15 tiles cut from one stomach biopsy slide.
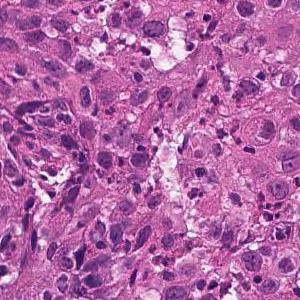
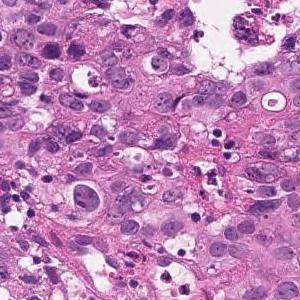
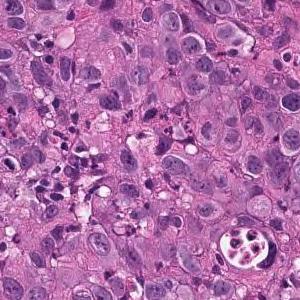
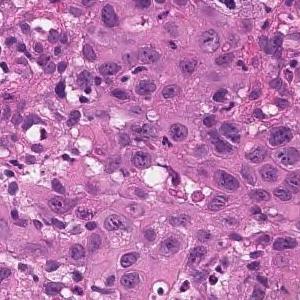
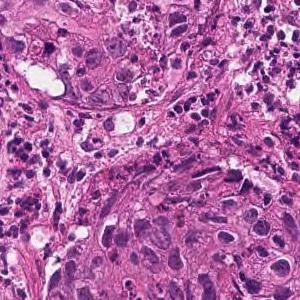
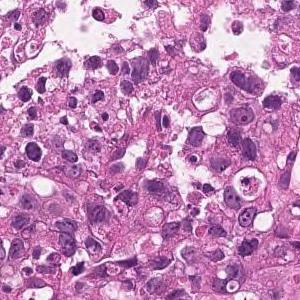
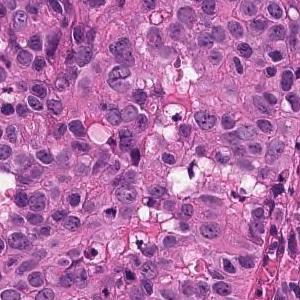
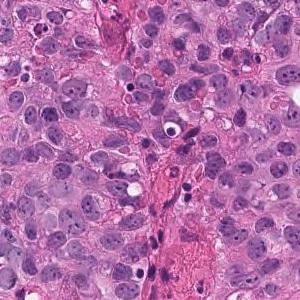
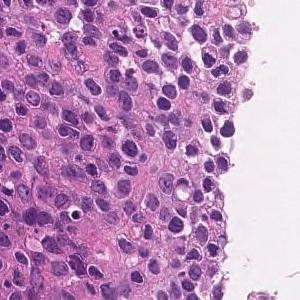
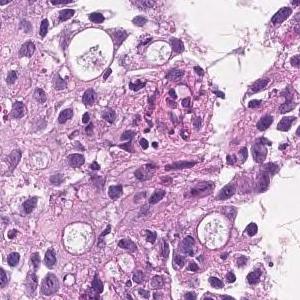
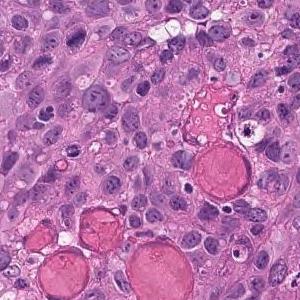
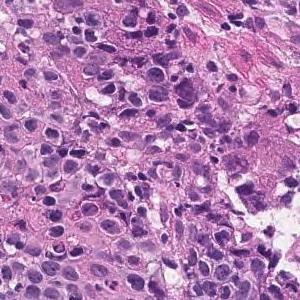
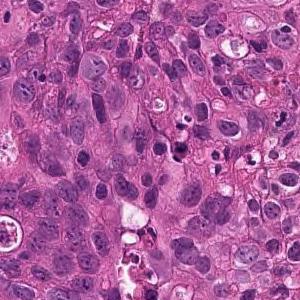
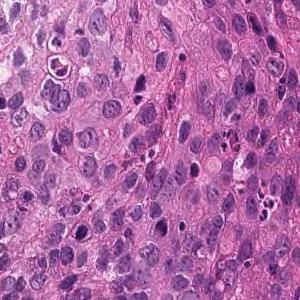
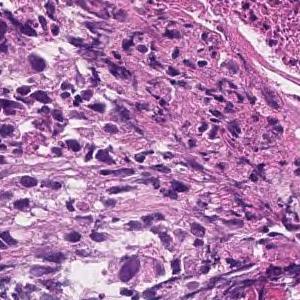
The pathologist's report on the biopsy slide these tiles were taken from. The report and the diagnosis describe the slide as a whole, so these tiles may not show every feature named and may include non-tumor tissue.
The superficial epithelium shows a large sheet-like shape, and some tumor tissue infiltrates with small irregular ducts. Poorly differentiated adenocarcinoma, solid-type
Classified as poorly differentiated adenocarcinoma, solid type, a category of the Japanese Classification of Gastric Carcinoma; in the WHO 2019 classification it is tubular adenocarcinoma, poorly differentiated.
